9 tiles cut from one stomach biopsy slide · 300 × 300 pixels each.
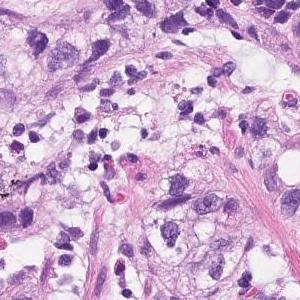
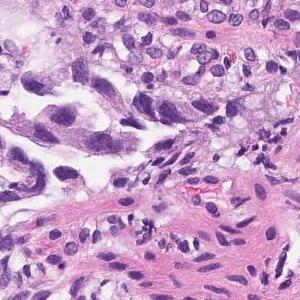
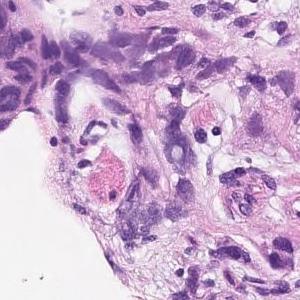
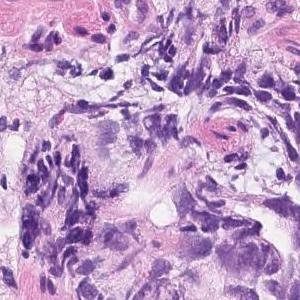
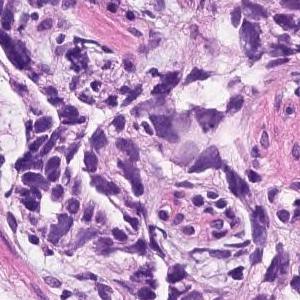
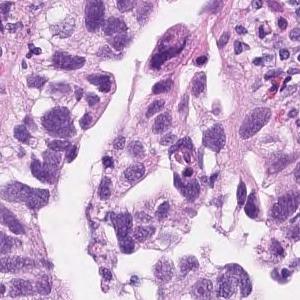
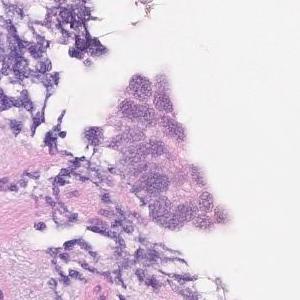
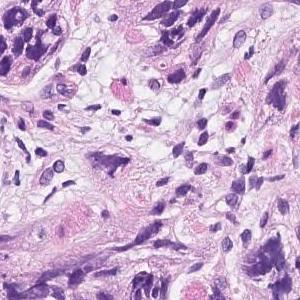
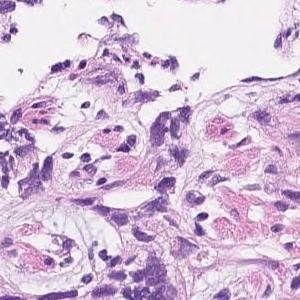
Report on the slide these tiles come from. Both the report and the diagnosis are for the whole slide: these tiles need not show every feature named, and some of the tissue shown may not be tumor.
In the superficial epithelium, tumor tissue that invades by forming medium-sized to small, irregular ducts is observed. Moderately differentiated adenocarcinoma.
Histologic type: Moderately differentiated tubular adenocarcinoma.
